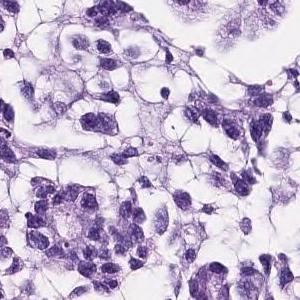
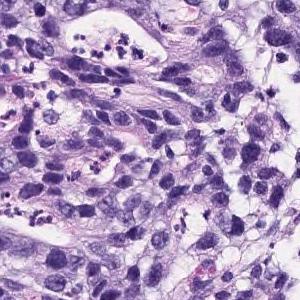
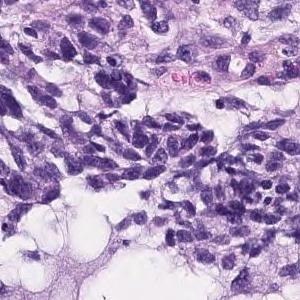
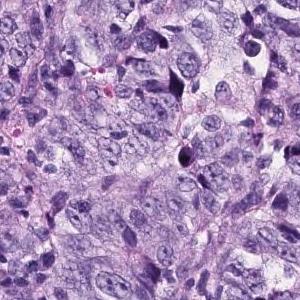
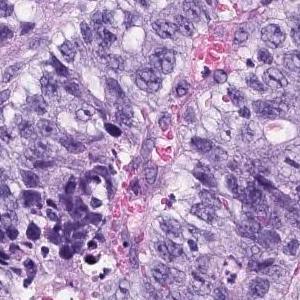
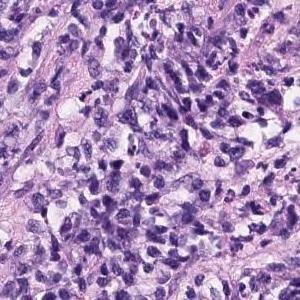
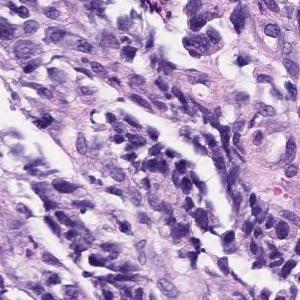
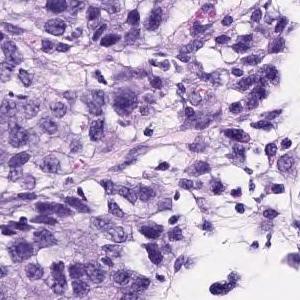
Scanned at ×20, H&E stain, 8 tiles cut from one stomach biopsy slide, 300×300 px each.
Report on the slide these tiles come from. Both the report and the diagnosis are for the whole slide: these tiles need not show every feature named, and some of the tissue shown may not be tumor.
The superficial epithelium shows a large sheet-like shape, and some tumor tissue infiltrates with small irregular ducts. Poorly differentiated adenocarcinoma, solid-type
Classified as poorly differentiated adenocarcinoma, solid type, a category of the Japanese Classification of Gastric Carcinoma; in the WHO 2019 classification it is tubular adenocarcinoma, poorly differentiated.
